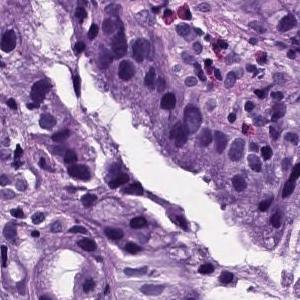
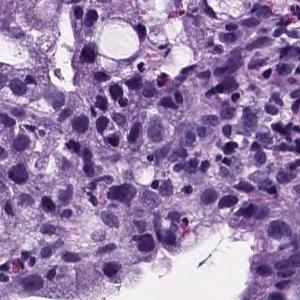
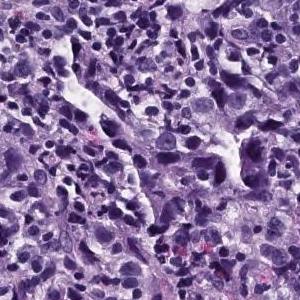
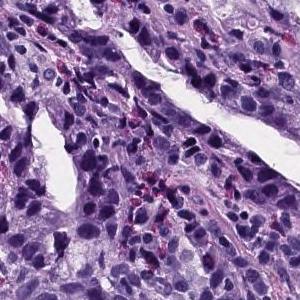
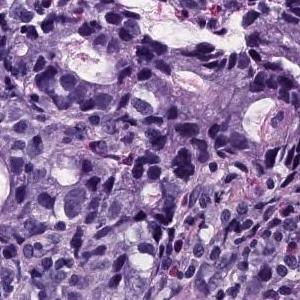
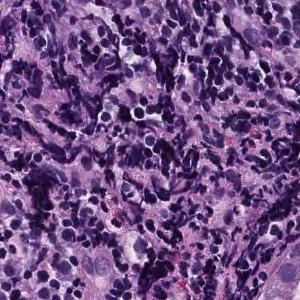
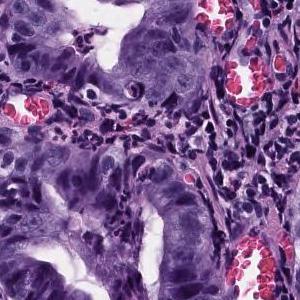
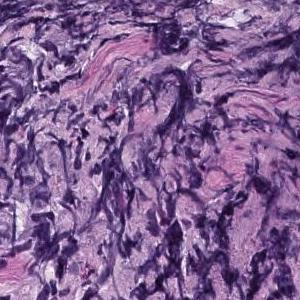
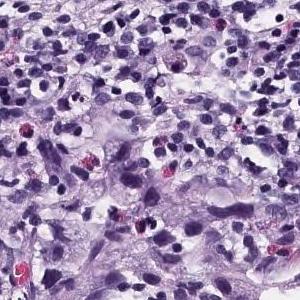
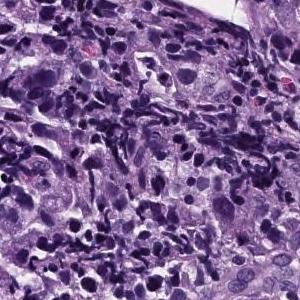
10 tiles cut from one stomach biopsy slide · 300 × 300 pixels each.
Report on the slide these tiles come from. The findings and the diagnosis refer to the entire slide; these tiles show only part of it, possibly with non-tumor tissue, and may not show every feature named.
Atypical epithelial cells infiltrating and proliferating while forming solid or cord-like fused glandular cavities of different sizes is observed. moderately differentiated tubular adenocarcinoma, poorly differentiated adenocarcinoma.
Histological subtype: Moderately to poorly differentiated adenocarcinoma.
